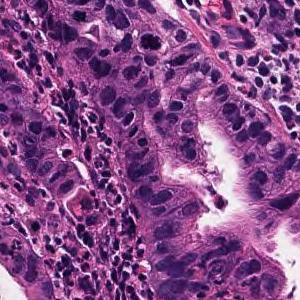
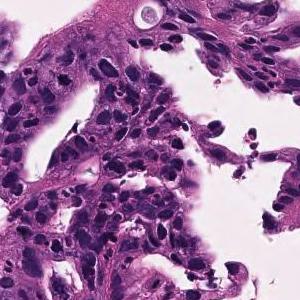
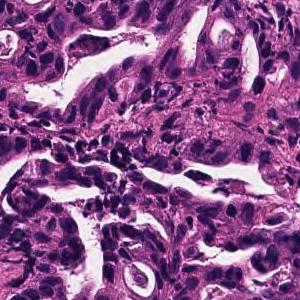
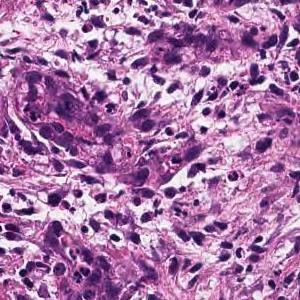
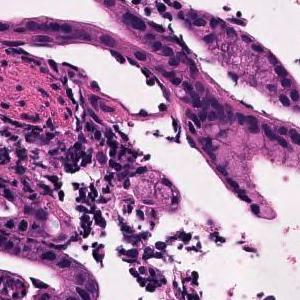
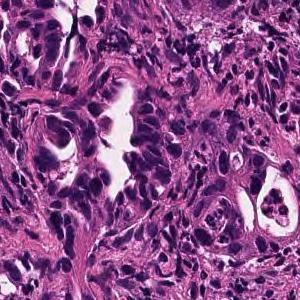
×20; 6 patches cut from one gastric biopsy slide; 300×300 px each.
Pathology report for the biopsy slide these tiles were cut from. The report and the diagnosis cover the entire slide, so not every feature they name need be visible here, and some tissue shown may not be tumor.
In the superficial epithelium, medium-sized to small irregular glandular ducts are formed, and in some cases, the glandular ducts are fused or small cord-like infiltrating tumor tissue is observed. moderately differentiated tubular adenocarcinoma
